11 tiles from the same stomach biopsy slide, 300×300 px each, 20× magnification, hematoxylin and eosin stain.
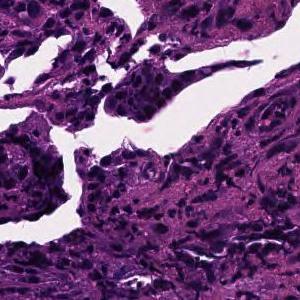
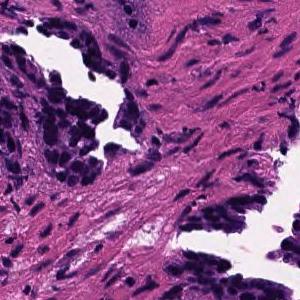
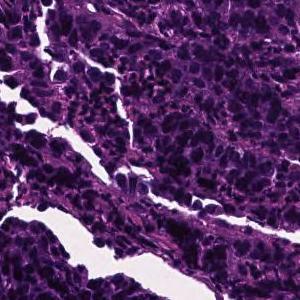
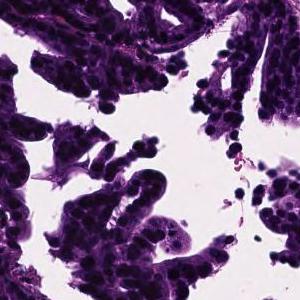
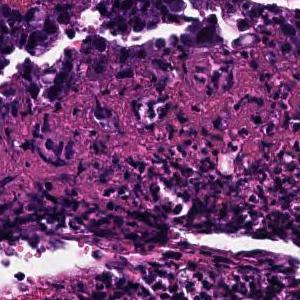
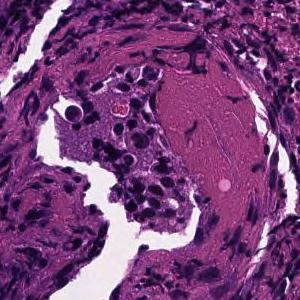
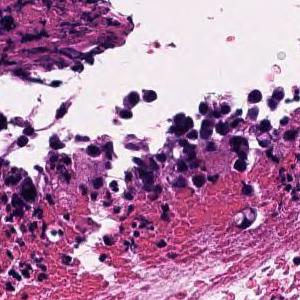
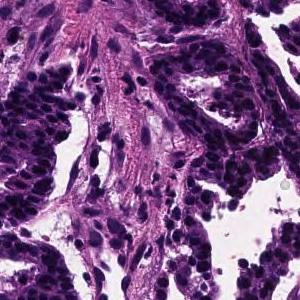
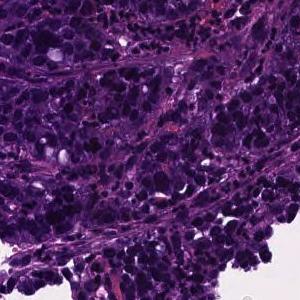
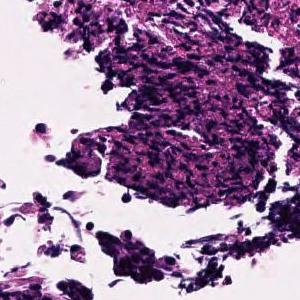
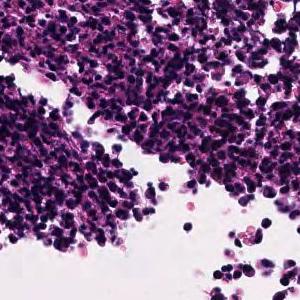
The pathologist's report on the biopsy slide these tiles were taken from. The findings and the diagnosis refer to the entire slide; these tiles show only part of it, possibly with non-tumor tissue, and may not show every feature named.
In the superficial epithelium, tumor tissue that invades by forming medium-sized to small, irregular ducts is observed. moderately differentiated tubular adenocarcinoma.
